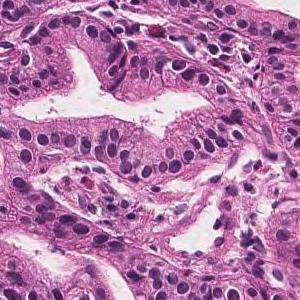
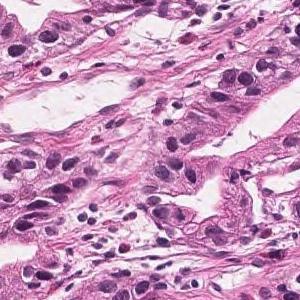
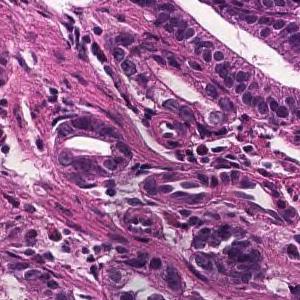
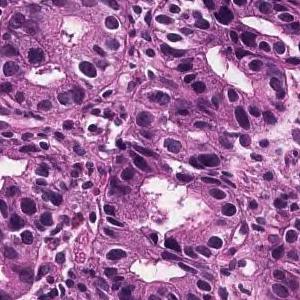
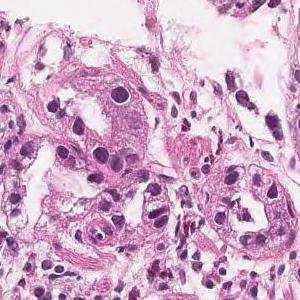
5 tiles from the same stomach biopsy slide, 300 × 300 pixels each.
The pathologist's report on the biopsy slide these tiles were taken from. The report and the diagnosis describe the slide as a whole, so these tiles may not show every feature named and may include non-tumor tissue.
Tumor tissue consisting of medium-sized and irregular ducts is observed infiltrating in the superficial epithelium. Tumor cells are highly columnar, with nuclei aligned basolaterally and polarized. Well differentiated tubular adenocarcinoma.
